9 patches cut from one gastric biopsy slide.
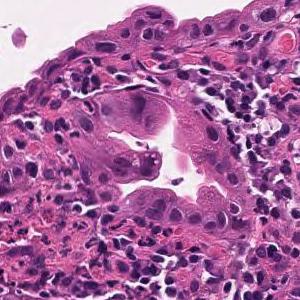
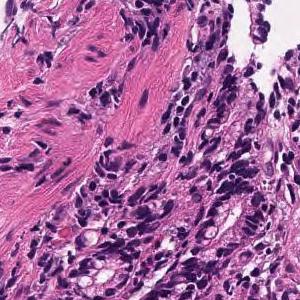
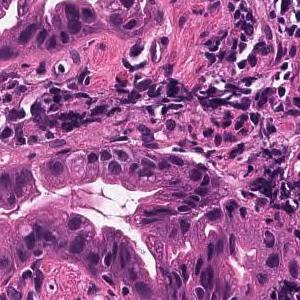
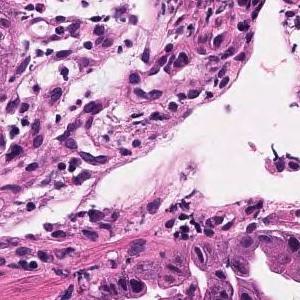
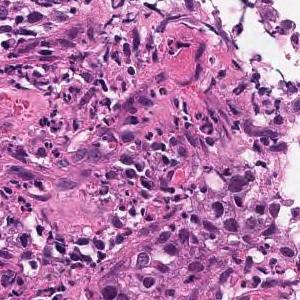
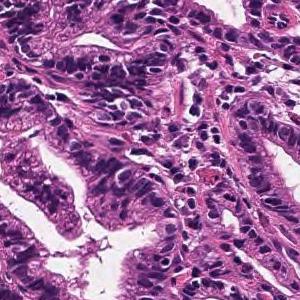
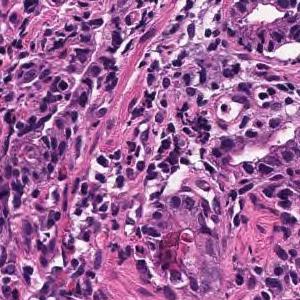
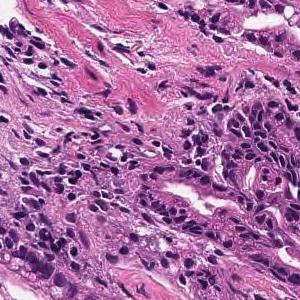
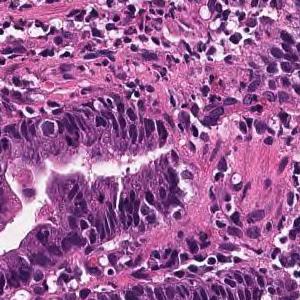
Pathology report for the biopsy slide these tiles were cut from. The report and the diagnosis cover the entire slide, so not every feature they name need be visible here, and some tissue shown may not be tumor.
Tumor tissue in which medium to small irregular ducts infiltrate and proliferate in the submucosa can be seen in the epithelium. Well differentiated tubular adenocarcinoma
